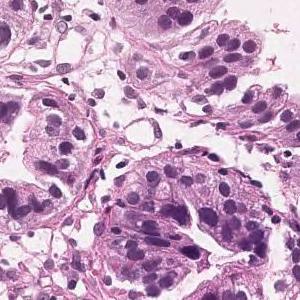
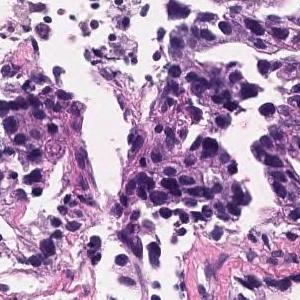
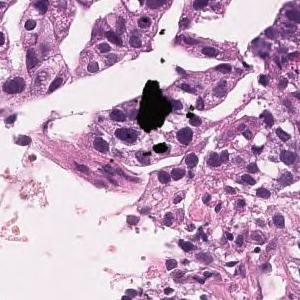
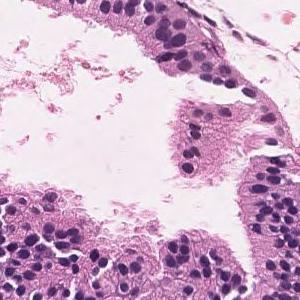
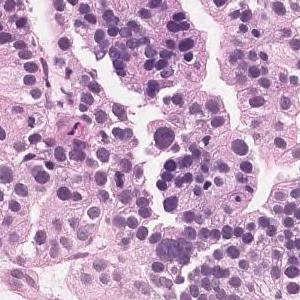
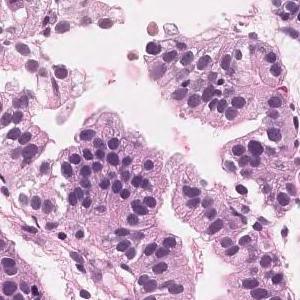
6 patches cut from one gastric biopsy slide, scanned at ×20.
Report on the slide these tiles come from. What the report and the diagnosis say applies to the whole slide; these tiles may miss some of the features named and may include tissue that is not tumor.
In the superficial epithelium, tumor tissue that invades by forming medium-sized to small, irregular ducts is observed. moderately differentiated tubular adenocarcinoma.
